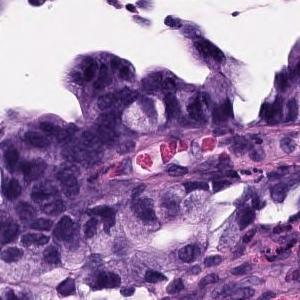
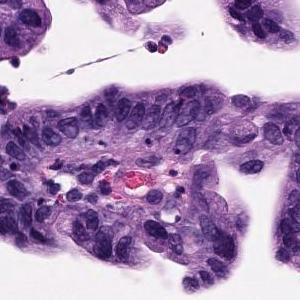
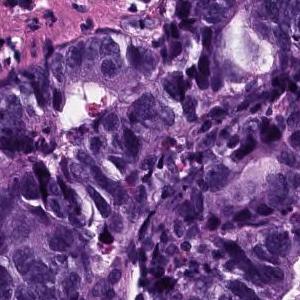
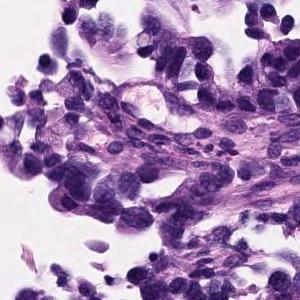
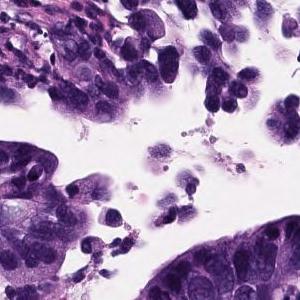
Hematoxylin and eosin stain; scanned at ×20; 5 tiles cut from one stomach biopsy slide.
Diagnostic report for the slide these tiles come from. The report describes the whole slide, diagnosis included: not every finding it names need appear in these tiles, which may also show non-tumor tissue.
Atypical epithelium proliferating showing villus construction and irregular gland duct construction is observed. Moderately differentiated tubular adenocarcinoma.
